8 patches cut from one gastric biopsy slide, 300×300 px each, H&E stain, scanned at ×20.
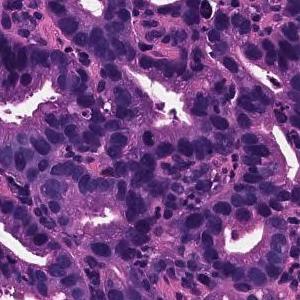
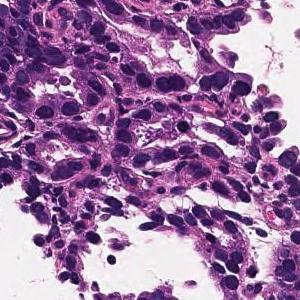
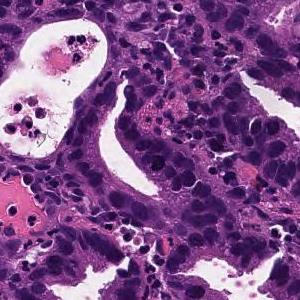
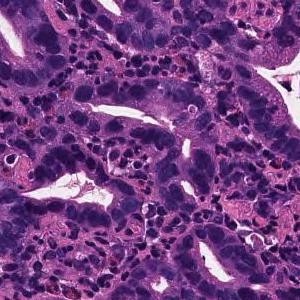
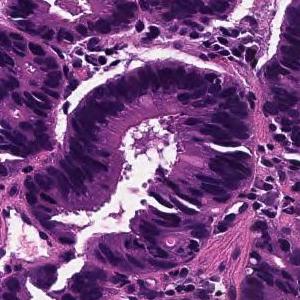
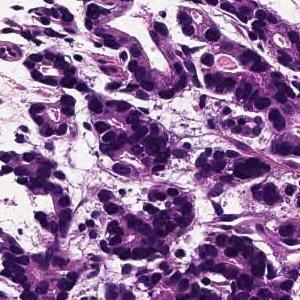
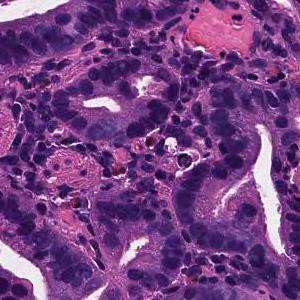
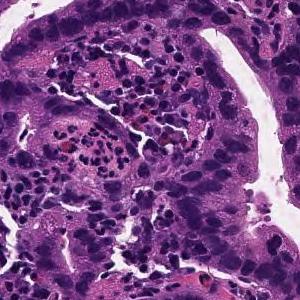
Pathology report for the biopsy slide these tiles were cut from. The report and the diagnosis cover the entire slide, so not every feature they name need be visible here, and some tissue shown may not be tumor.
On the superficial epithelium, tumor tissue is found in which medium-sized irregular gland ducts fuse with each other and infiltrate. moderately differentiated tubular adenocarcinoma
